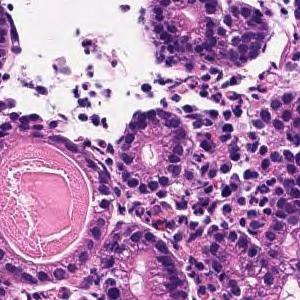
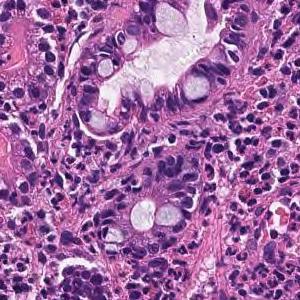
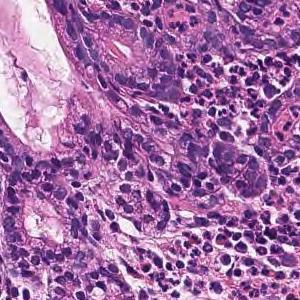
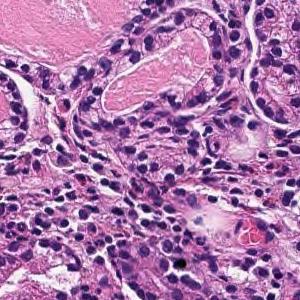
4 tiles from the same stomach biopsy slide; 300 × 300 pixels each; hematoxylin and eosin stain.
Pathology report for the biopsy slide these tiles were cut from. The report and the diagnosis describe the slide as a whole, so these tiles may not show every feature named and may include non-tumor tissue.
Tumor tissue infiltrated and proliferated with small to medium-sized irregular tubules is observed in the superficial epithelium. Well differentiated tubular adenocarcinoma
